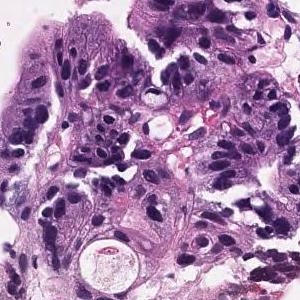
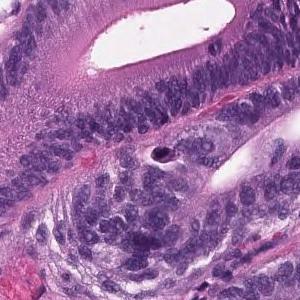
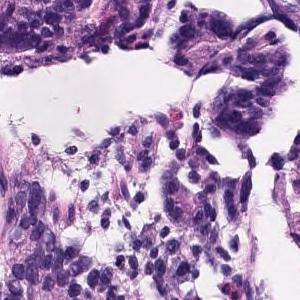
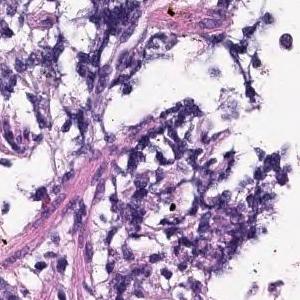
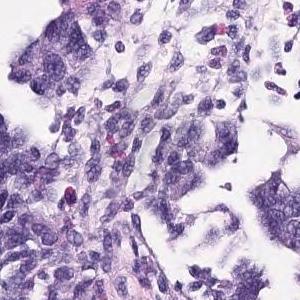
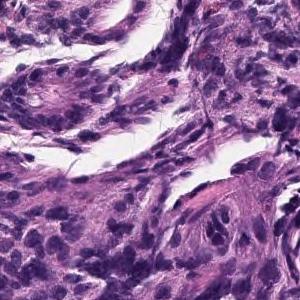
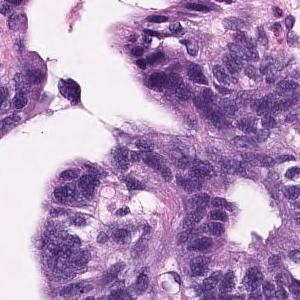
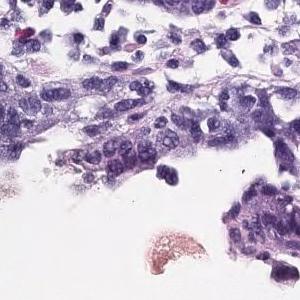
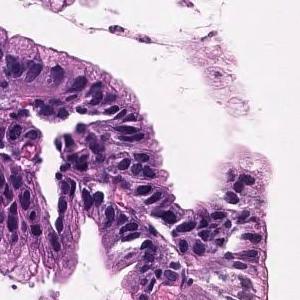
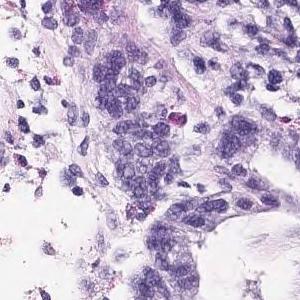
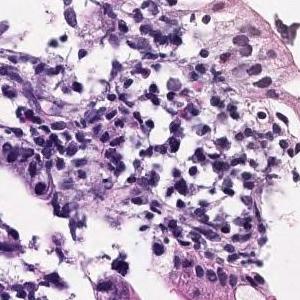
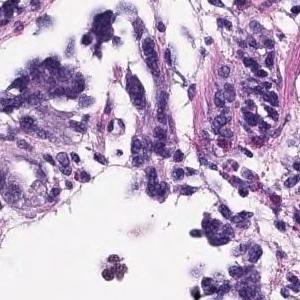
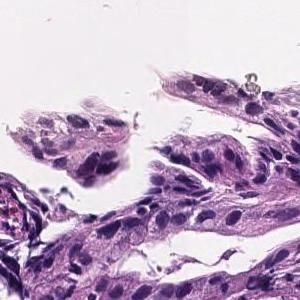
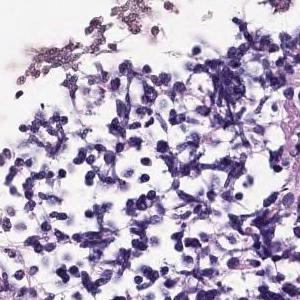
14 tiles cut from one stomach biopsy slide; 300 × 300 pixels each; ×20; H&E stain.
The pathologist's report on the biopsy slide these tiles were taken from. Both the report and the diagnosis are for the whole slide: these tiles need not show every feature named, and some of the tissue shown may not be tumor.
Tumor cells are large, highly columnar, large club-shaped nuclei, and are associated with chromatin aggregation. Papillary adenocarcinoma.
